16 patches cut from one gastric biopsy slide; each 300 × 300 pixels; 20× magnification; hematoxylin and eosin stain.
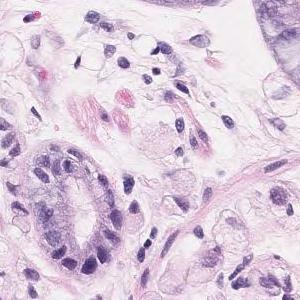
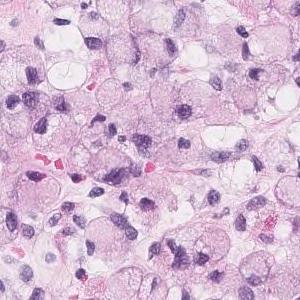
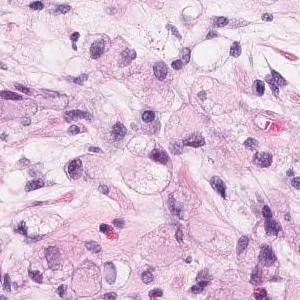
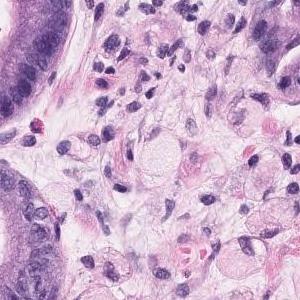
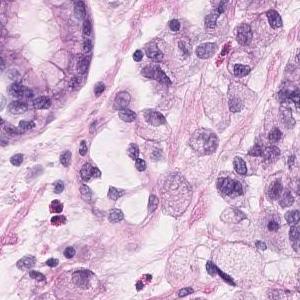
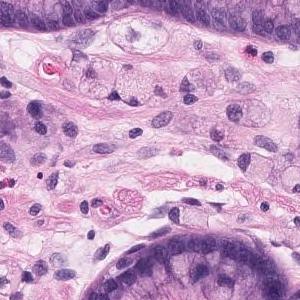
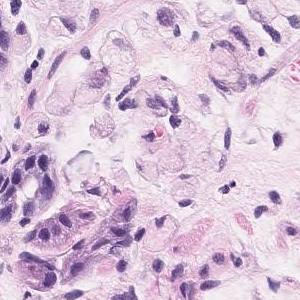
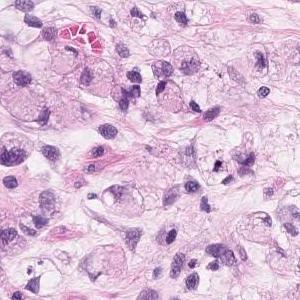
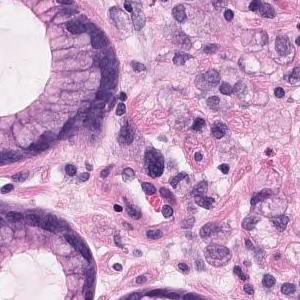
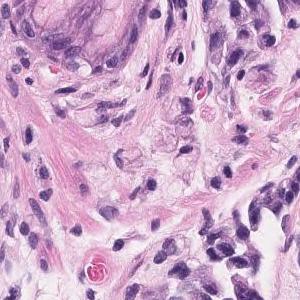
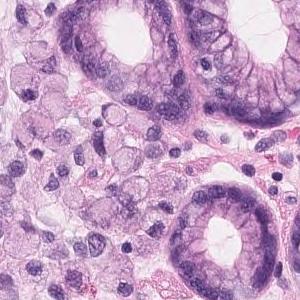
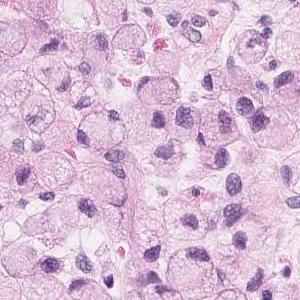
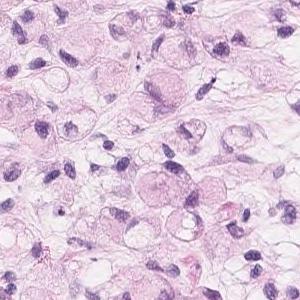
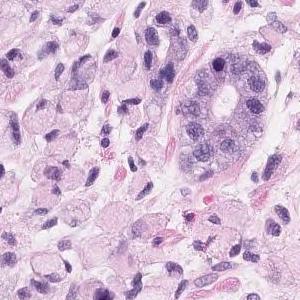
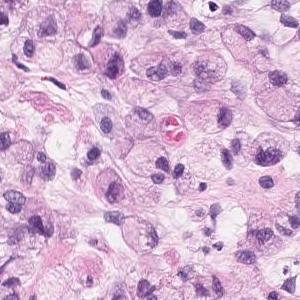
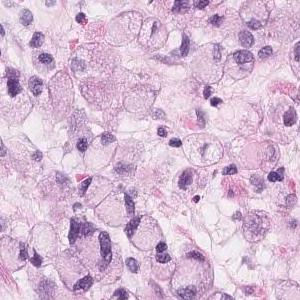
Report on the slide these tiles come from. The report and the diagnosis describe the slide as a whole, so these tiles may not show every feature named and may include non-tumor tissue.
In the lamina propria, atypical epithelial cells that store mucus and lack connectivity proliferate diffusely. Adenocarcinoma. Signet ring cell carcinoma.
